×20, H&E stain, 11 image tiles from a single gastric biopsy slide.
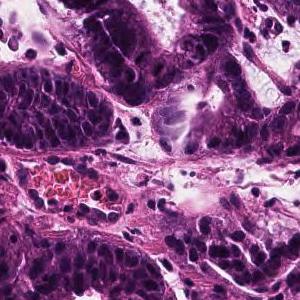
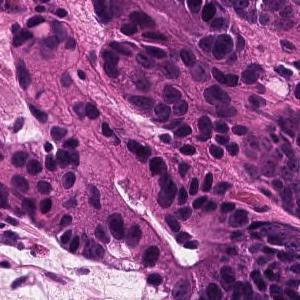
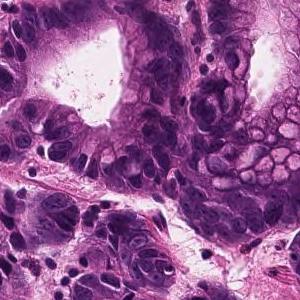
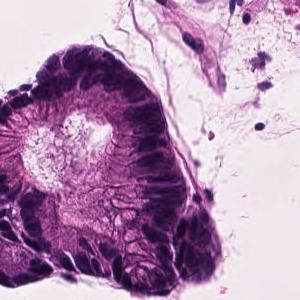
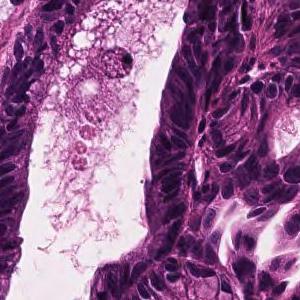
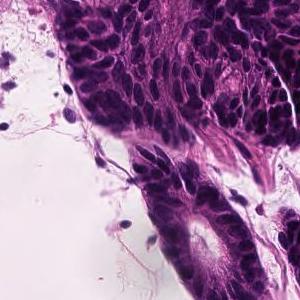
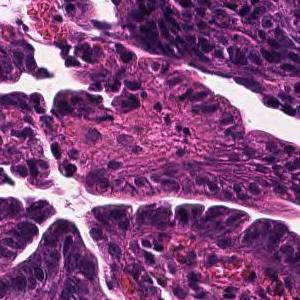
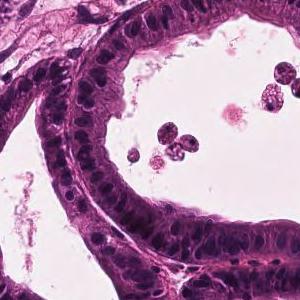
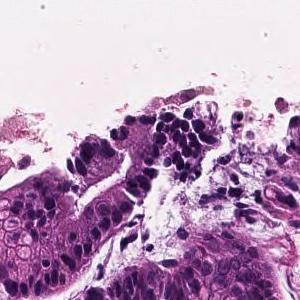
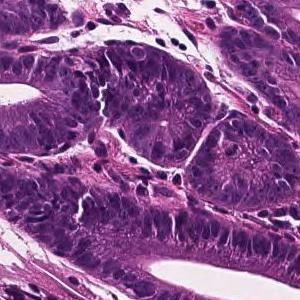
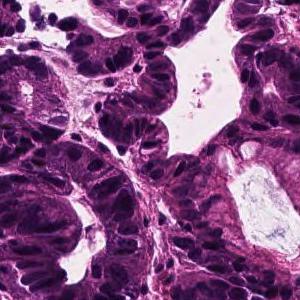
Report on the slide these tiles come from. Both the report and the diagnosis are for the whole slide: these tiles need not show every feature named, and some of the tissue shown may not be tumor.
In the superficial epithelium, tumor tissue that invades by forming medium-sized to small, irregular ducts is observed. Well differentiated tubular adenocarcinoma.
